16 patches cut from one gastric biopsy slide; 20× magnification; hematoxylin and eosin stain.
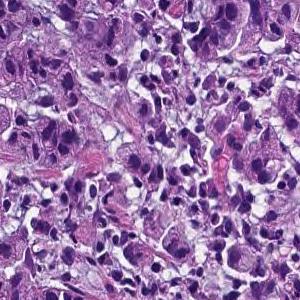
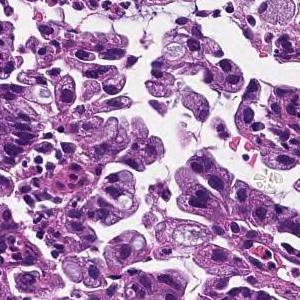
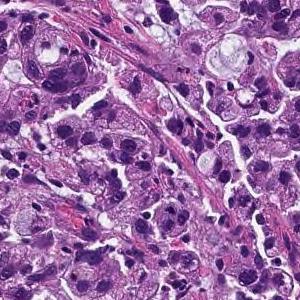
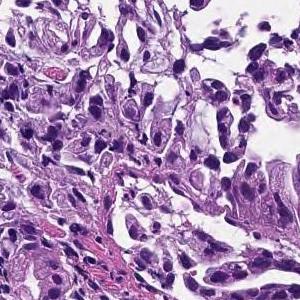
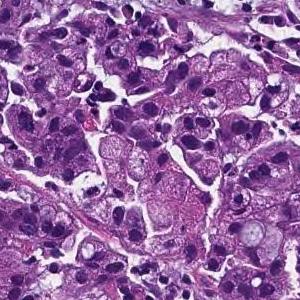
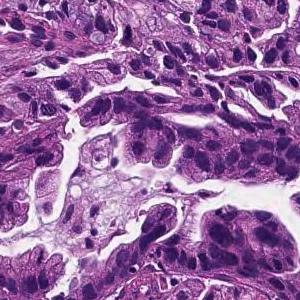
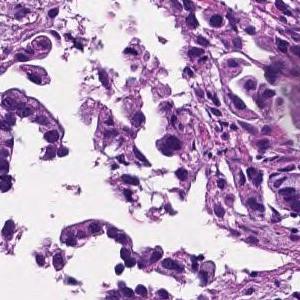
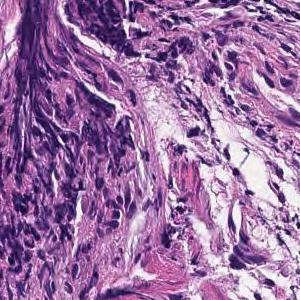
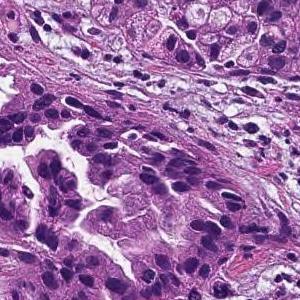
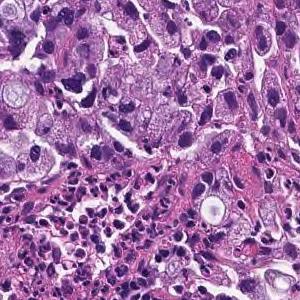
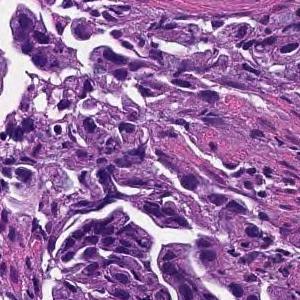
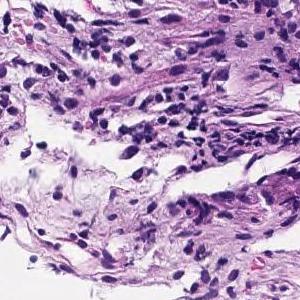
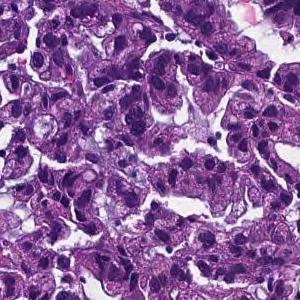
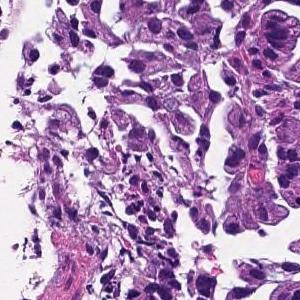
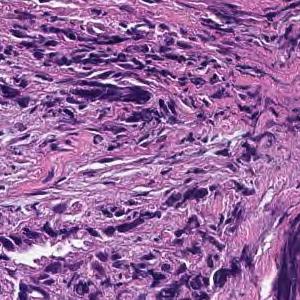
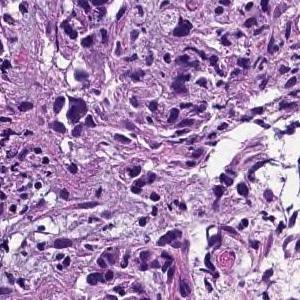
Pathology report for the biopsy slide these tiles were cut from. The report describes the whole slide, diagnosis included: not every finding it names need appear in these tiles, which may also show non-tumor tissue.
Tumor tissue consisting of medium-sized, cord-like or irregular glandular infiltration is observed in the superficial epithelium. Poorly differentiated adenocarcinoma, non-solid type or moderately differentiated tubular adenocarcinoma
Histological subtype: Moderately to poorly differentiated adenocarcinoma.
The non-solid type named here is a Japanese Classification of Gastric Carcinoma category.
